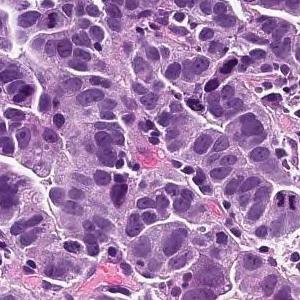
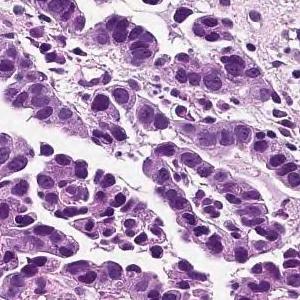
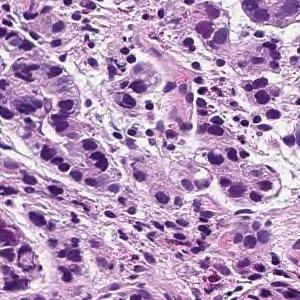
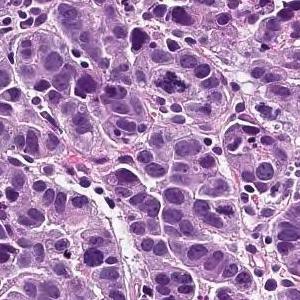
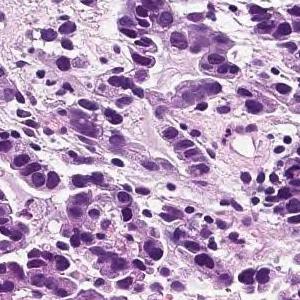
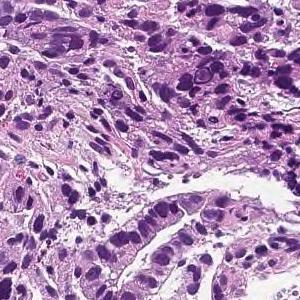
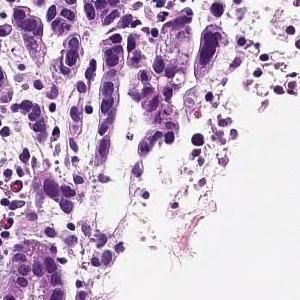
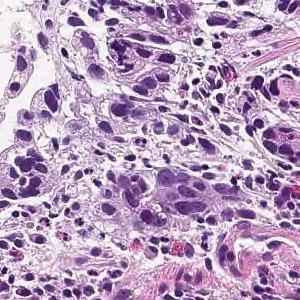
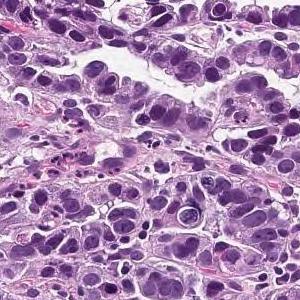
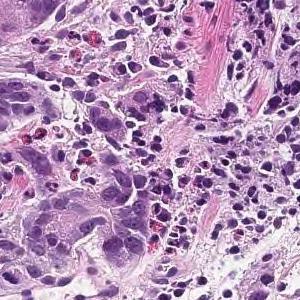
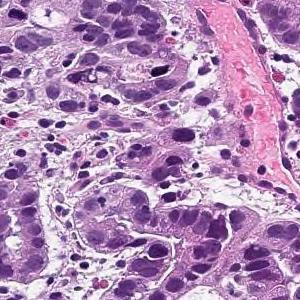
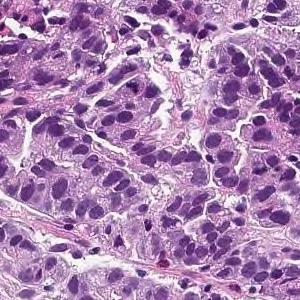
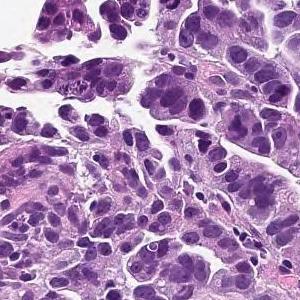
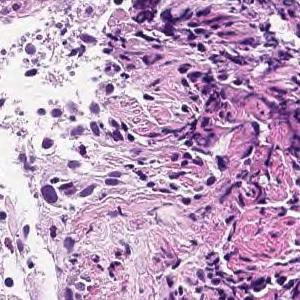
14 tiles cut from one stomach biopsy slide; 300 × 300 pixels each; H&E; 20× magnification.
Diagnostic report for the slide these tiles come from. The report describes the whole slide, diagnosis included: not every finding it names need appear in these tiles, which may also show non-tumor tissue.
Tumor tissue consisting of medium-sized, cord-like or irregular glandular infiltration is observed in the superficial epithelium. Poorly differentiated adenocarcinoma, non-solid type or moderately differentiated tubular adenocarcinoma
Subtype: Moderately to poorly differentiated adenocarcinoma.
The non-solid type named here is a Japanese Classification of Gastric Carcinoma category.
